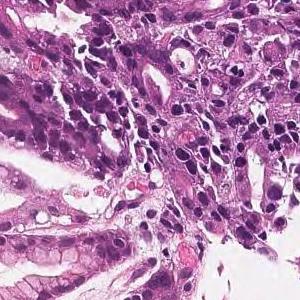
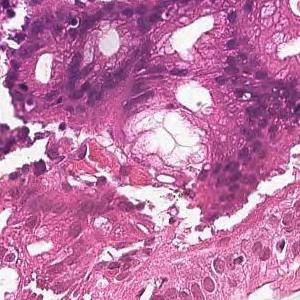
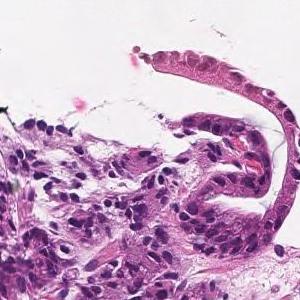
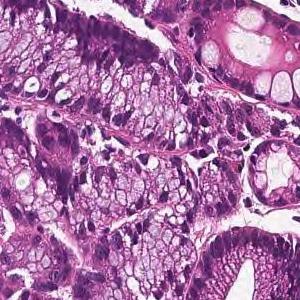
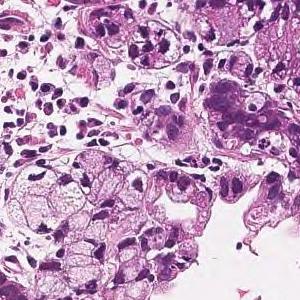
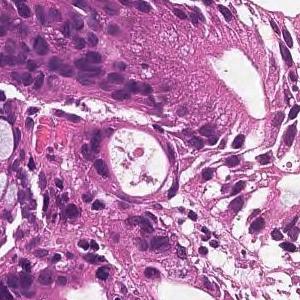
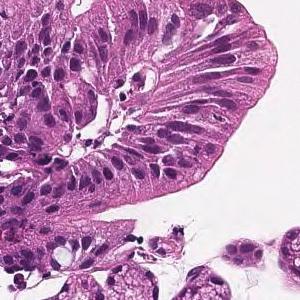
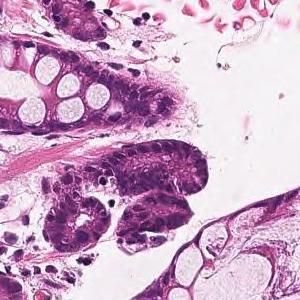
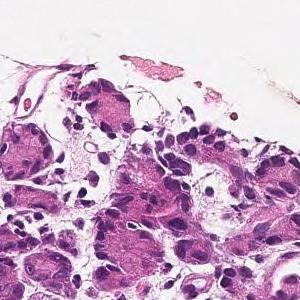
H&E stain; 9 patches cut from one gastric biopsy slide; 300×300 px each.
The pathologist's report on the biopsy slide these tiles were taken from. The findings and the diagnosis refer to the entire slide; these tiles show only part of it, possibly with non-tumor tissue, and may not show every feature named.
In the superficial epithelium, tumor tissue that invades by forming medium-sized to small, irregular ducts is observed. moderately differentiated tubular adenocarcinoma.
